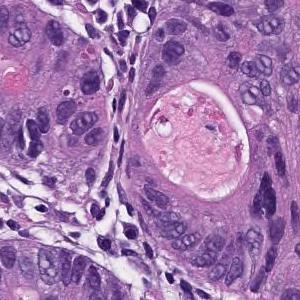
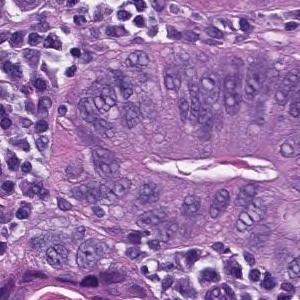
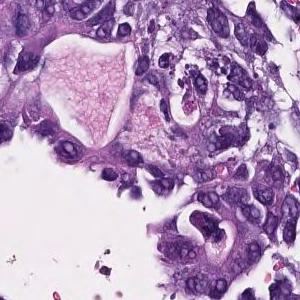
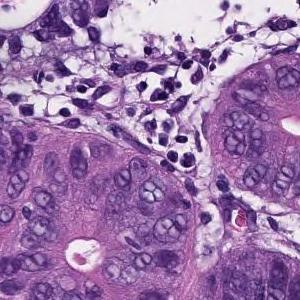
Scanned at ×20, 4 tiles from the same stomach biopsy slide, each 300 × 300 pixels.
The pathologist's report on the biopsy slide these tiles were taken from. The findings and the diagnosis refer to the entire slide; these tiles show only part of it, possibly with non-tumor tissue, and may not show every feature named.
In the superficial epithelium, tumor tissue that invades by forming medium-sized to small, irregular ducts is observed. moderately differentiated tubular adenocarcinoma.
